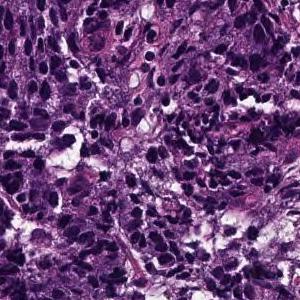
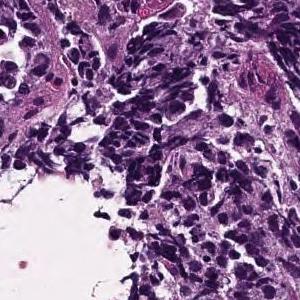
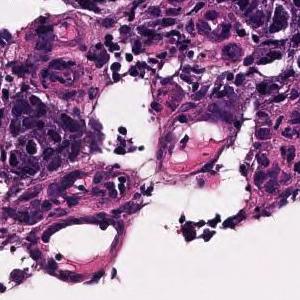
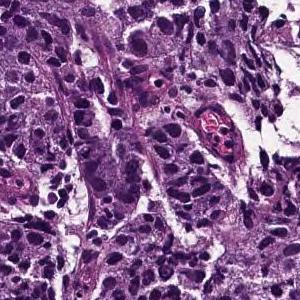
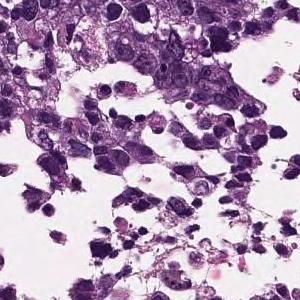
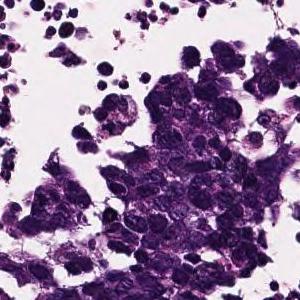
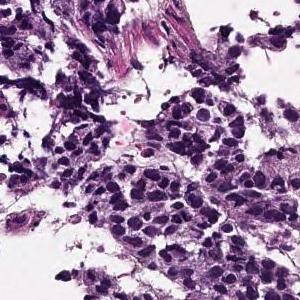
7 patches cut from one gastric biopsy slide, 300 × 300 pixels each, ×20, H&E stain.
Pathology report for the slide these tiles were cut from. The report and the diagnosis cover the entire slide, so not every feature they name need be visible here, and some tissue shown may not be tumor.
The superficial epithelium shows a large sheet-like shape, and some tumor tissue infiltrates with small irregular ducts. Poorly differentiated adenocarcinoma, solid-type
Histologic type: Poorly differentiated adenocarcinoma, solid type, a category of the Japanese Classification of Gastric Carcinoma; in the WHO 2019 classification it is tubular adenocarcinoma, poorly differentiated.
